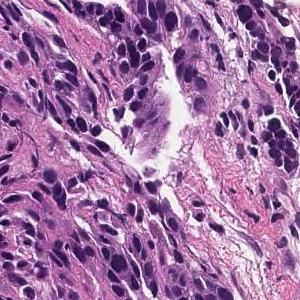
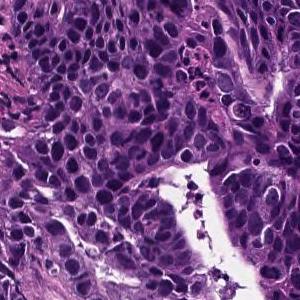
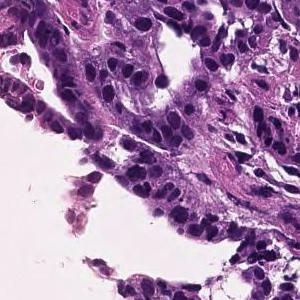
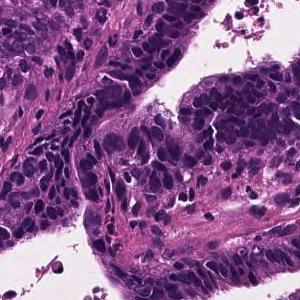
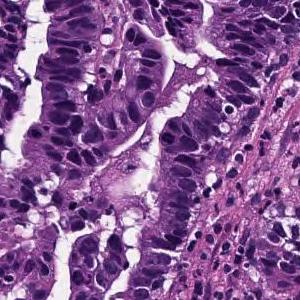
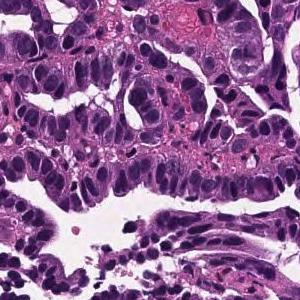
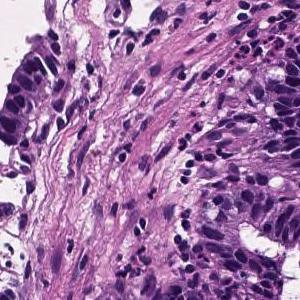
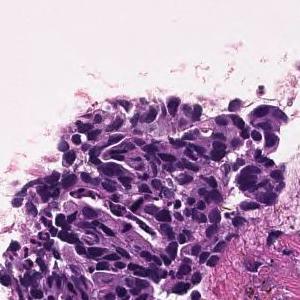
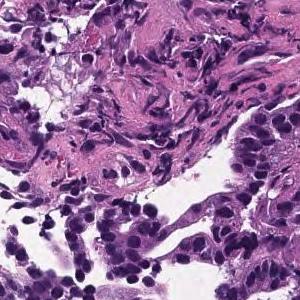
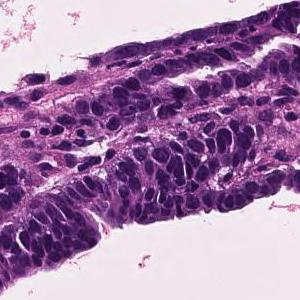
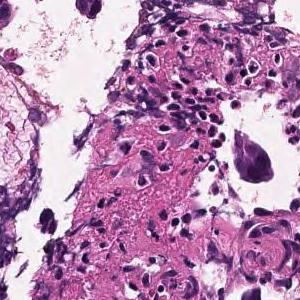
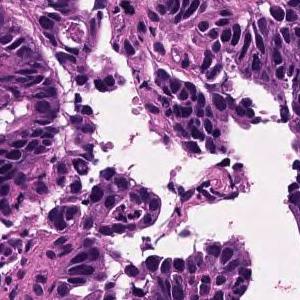
H&E; 12 image tiles from a single gastric biopsy slide; 300×300 px each.
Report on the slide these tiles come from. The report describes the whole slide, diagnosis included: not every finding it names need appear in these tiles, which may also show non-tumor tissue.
Tumor cells are large, highly columnar, large club-shaped nuclei, and are associated with chromatin aggregation. Papillary adenocarcinoma.
